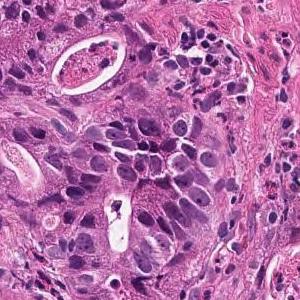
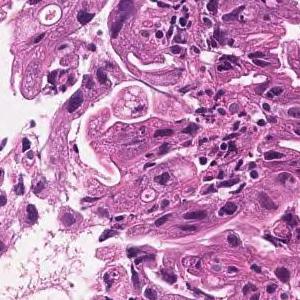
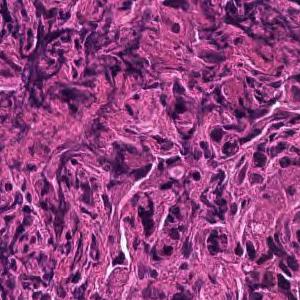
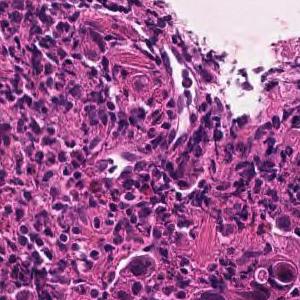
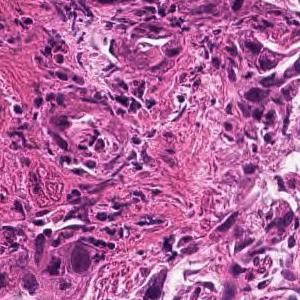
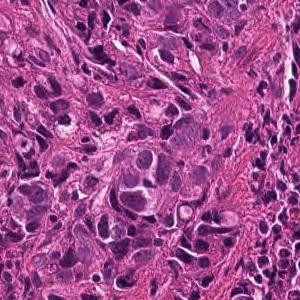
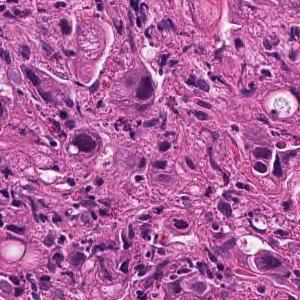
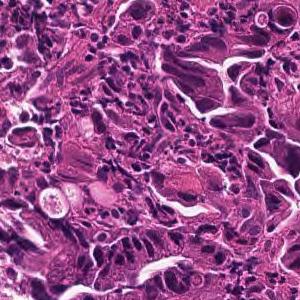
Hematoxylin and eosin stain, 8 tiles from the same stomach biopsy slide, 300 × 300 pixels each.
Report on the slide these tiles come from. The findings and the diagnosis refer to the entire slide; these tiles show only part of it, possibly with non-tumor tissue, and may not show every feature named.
Medium to small, irregular glandular ducts are formed in the superficial epithelium, and in some cases, the glandular ducts are fused to show solid alveolar lesions and infiltrating tumor tissue is observed. Moderately to poorly differentiated adenocarcinoma.
